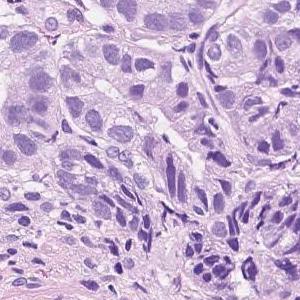
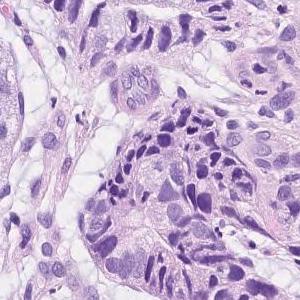
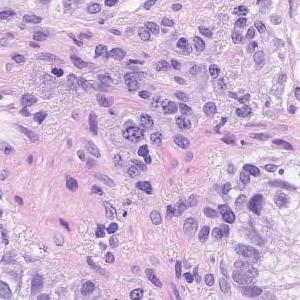
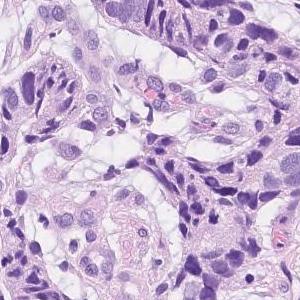
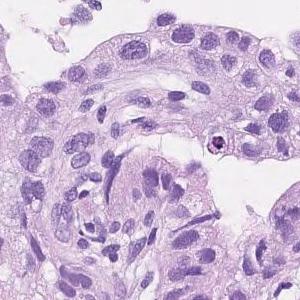
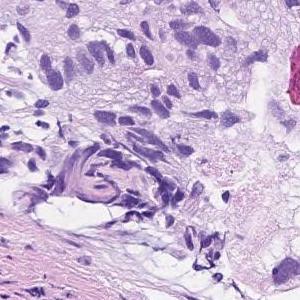
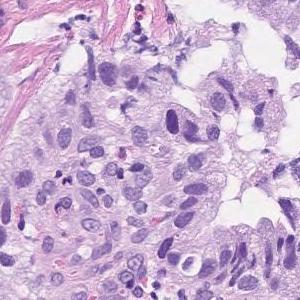
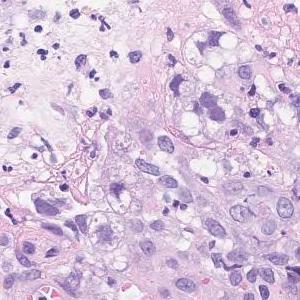
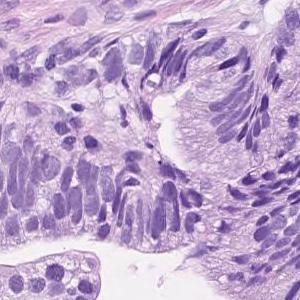
9 patches cut from one gastric biopsy slide; 300×300 px each.
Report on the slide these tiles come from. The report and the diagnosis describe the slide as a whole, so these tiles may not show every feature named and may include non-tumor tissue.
Atypical l cells with atypical nuclei forming solid or diffuse vesicles or small irregular atypical ducts and growing in a complex manner. moderately differentiated tubular adenocarcinoma
